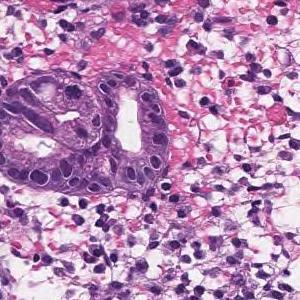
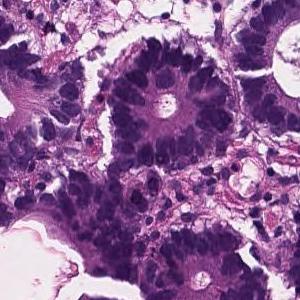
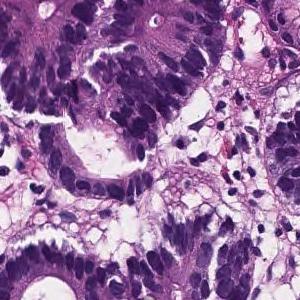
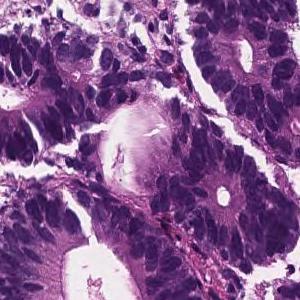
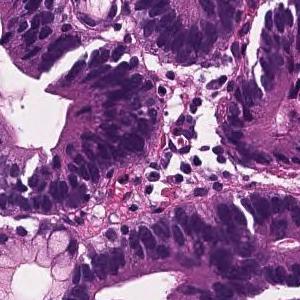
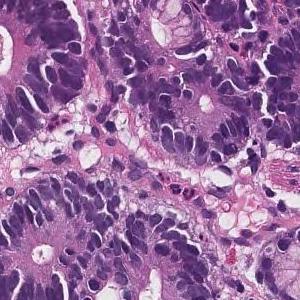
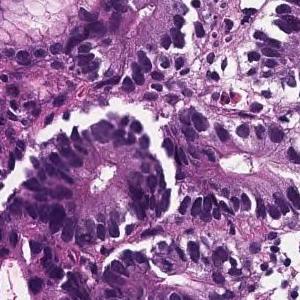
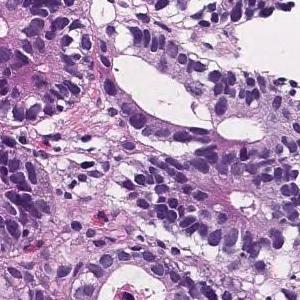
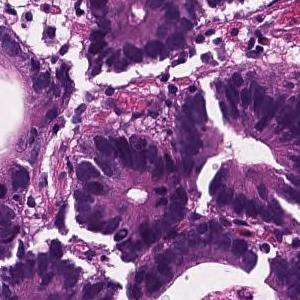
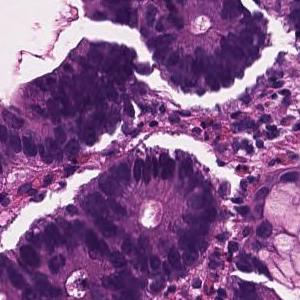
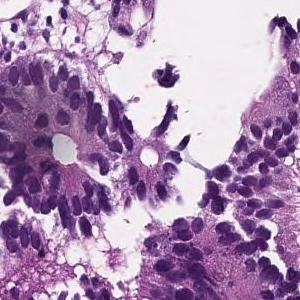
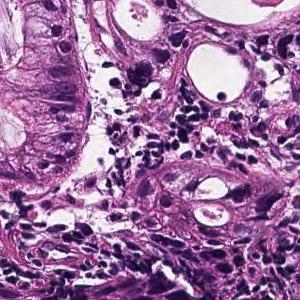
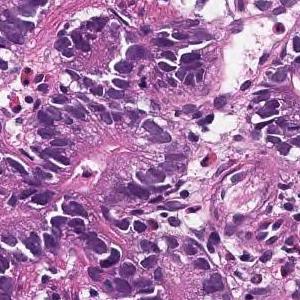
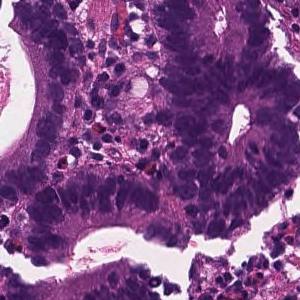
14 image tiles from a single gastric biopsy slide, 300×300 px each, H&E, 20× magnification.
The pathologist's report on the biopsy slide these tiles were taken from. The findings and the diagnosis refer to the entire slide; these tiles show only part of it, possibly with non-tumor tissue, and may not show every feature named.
On the superficial epithelium, tumor tissue consisting of large, irregular glandular ducts partially fused and infiltrated is observed. Well to moderately differentiated tubular adenocarcinoma (well differentiated tubular adenocarcinoma, moderately differentiated tubular adenocarcinoma)
Histological subtype: Well to moderately differentiated tubular adenocarcinoma.
